14 patches cut from one gastric biopsy slide; each 300 × 300 pixels; 20× magnification; hematoxylin and eosin stain.
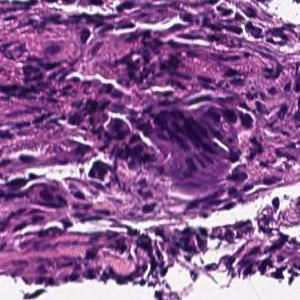
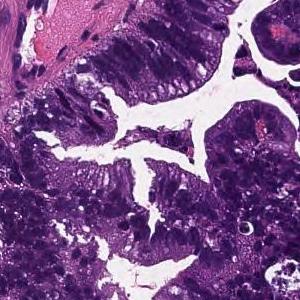
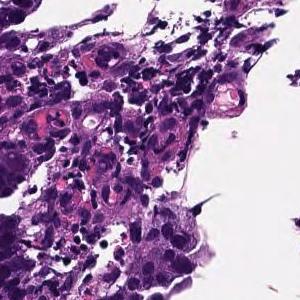
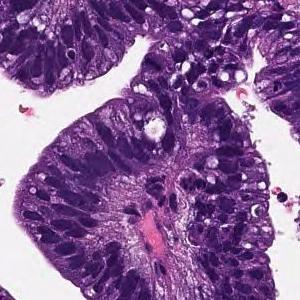
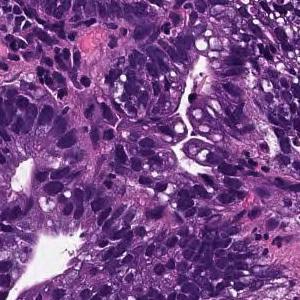
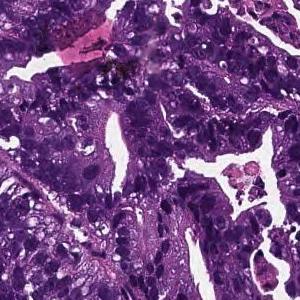
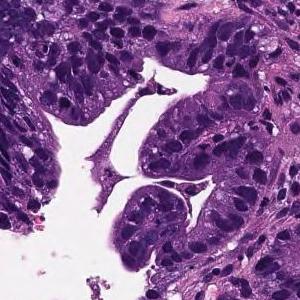
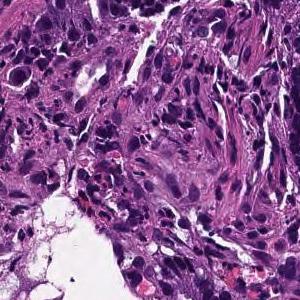
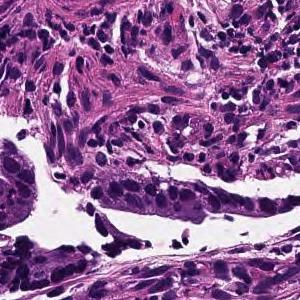
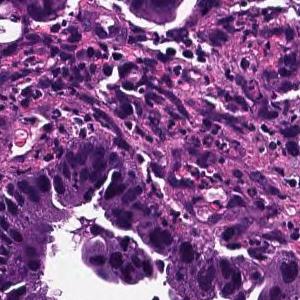
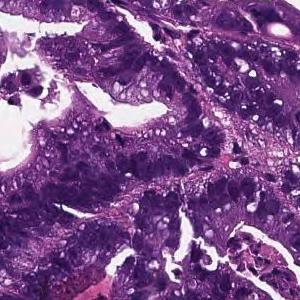
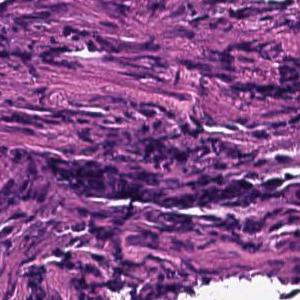
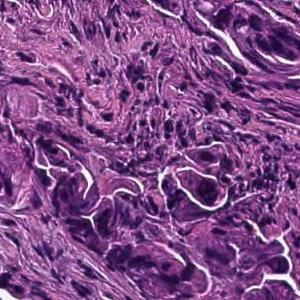
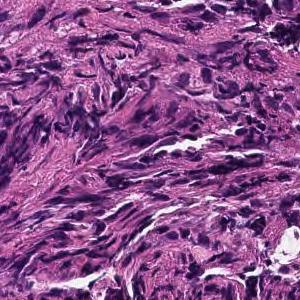
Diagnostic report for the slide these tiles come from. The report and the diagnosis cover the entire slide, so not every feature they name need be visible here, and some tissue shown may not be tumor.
Tumor cells are large, highly columnar, large club-shaped nuclei, and are associated with chromatin aggregation. Papillary adenocarcinoma.
